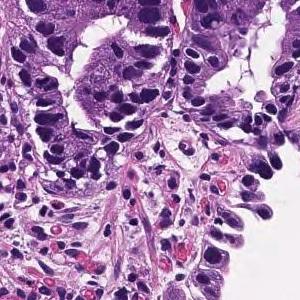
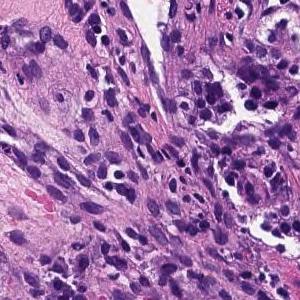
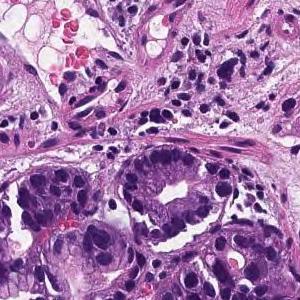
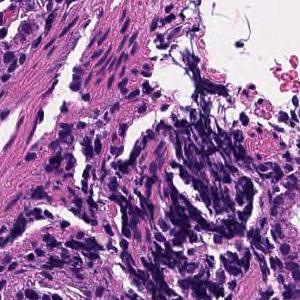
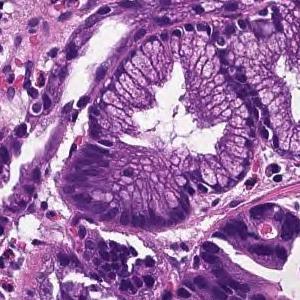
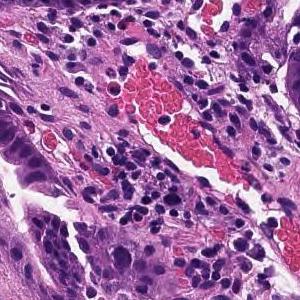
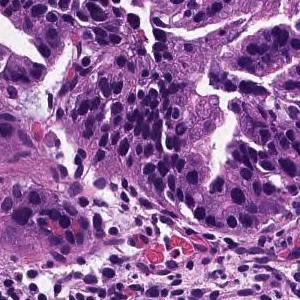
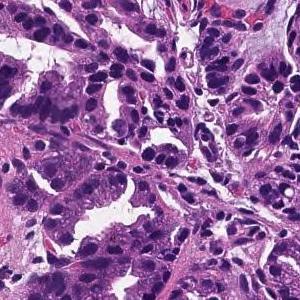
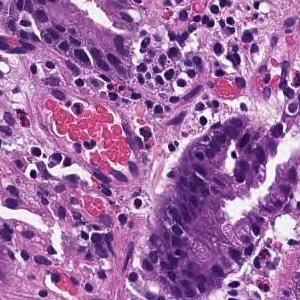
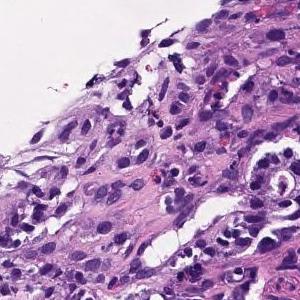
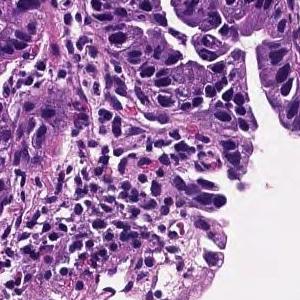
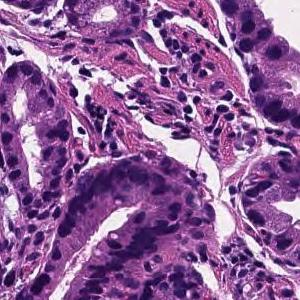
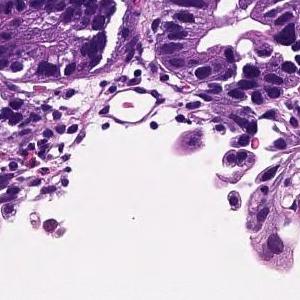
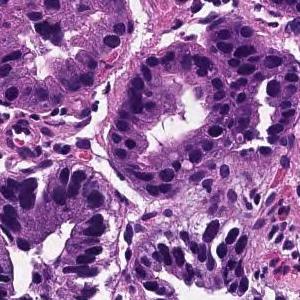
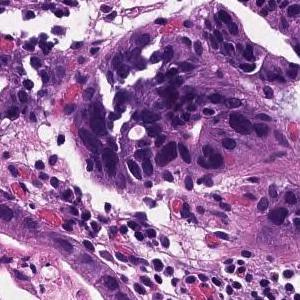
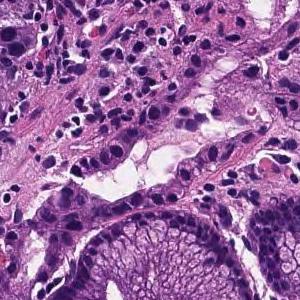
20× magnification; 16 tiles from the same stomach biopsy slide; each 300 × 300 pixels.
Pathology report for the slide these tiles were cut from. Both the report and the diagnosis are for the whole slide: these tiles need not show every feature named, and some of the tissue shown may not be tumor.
From the superficial epithelium to the muscularis mucosae, tumor tissue consisting of medium-sized and irregular glandular ducts infiltrating is observed. Well differentiated tubular adenocarcinoma
